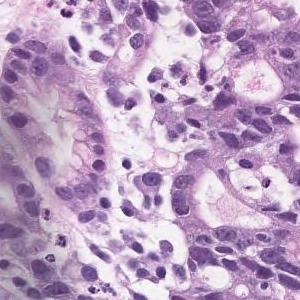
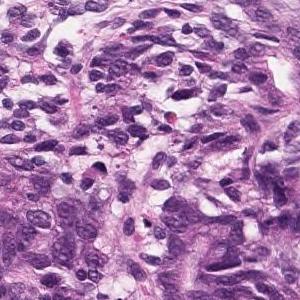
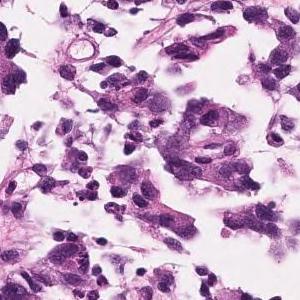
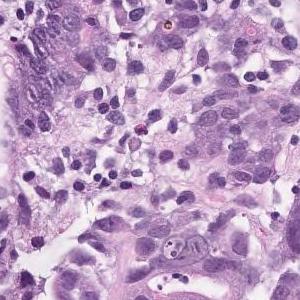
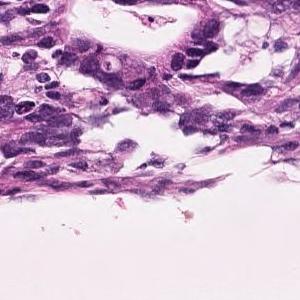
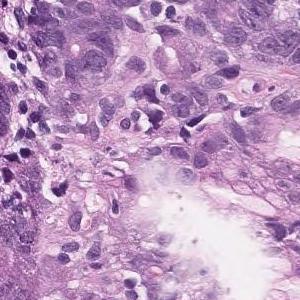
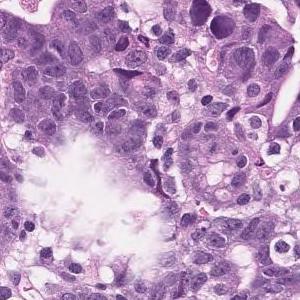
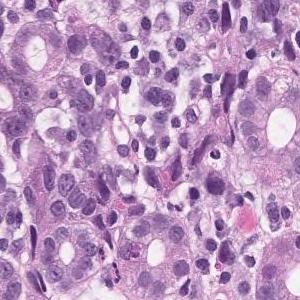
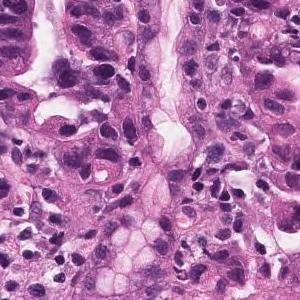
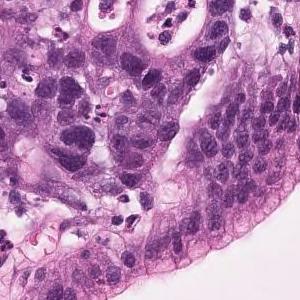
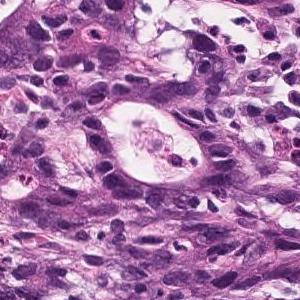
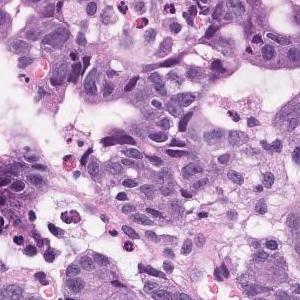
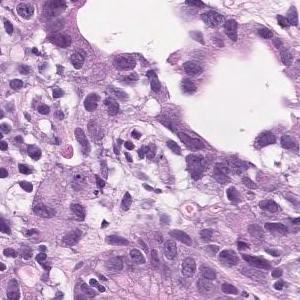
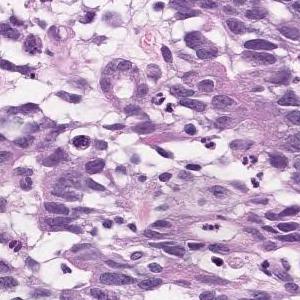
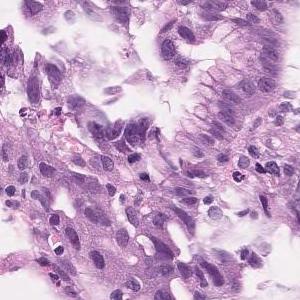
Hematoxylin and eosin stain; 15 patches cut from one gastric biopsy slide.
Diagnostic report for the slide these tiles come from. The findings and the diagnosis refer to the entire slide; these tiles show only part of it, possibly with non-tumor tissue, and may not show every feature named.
It is mixed with the existing pit epithelium and pyloric gland epithelium, and irregularly fused and branched atypical ducts are observed. Moderately differentiated tubular adenocarcinoma (well differentiated tubular adenocarcinoma)
The dataset labels this slide moderately differentiated tubular adenocarcinoma.
